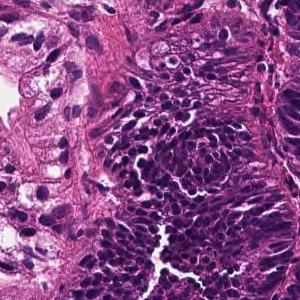
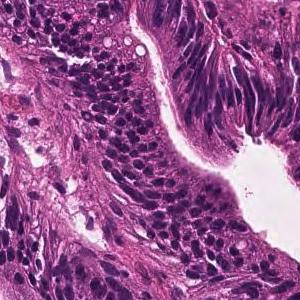
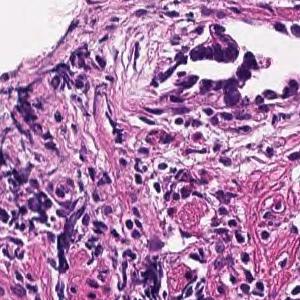
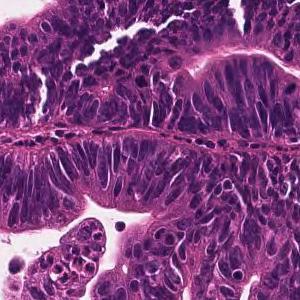
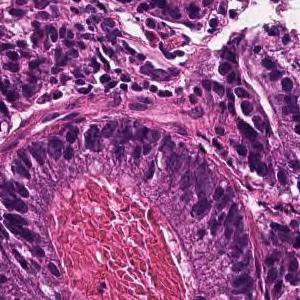
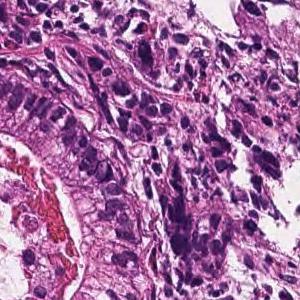
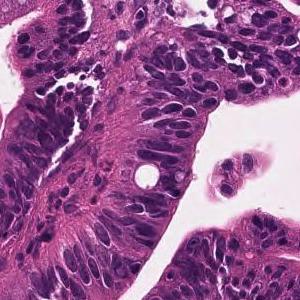
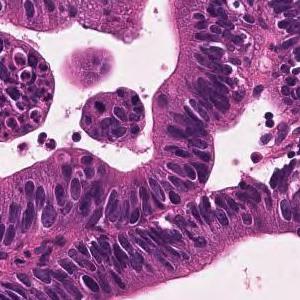
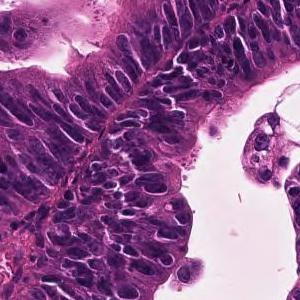
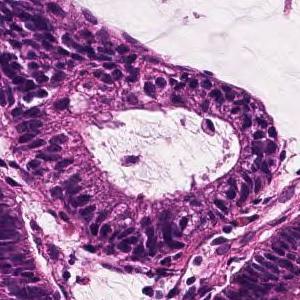
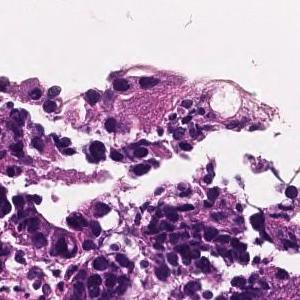
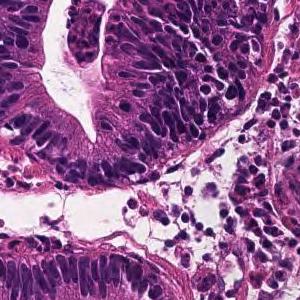
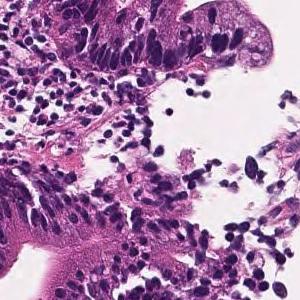
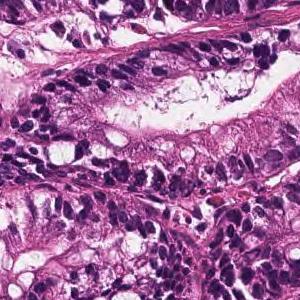
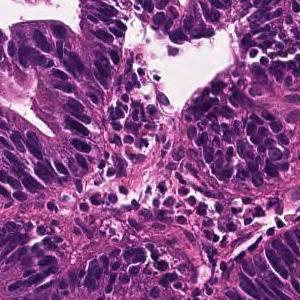
Hematoxylin and eosin stain · scanned at ×20 · 15 tiles cut from one stomach biopsy slide.
The pathologist's report on the biopsy slide these tiles were taken from. The report and the diagnosis describe the slide as a whole, so these tiles may not show every feature named and may include non-tumor tissue.
A large irregular tubular structure is exhibited in the epithelium, and tumor tissue that partially fuses and infiltrates and proliferates is observed. Large columnar tumor cells exhibit enlarged nucleus, hyperchromatism, and mitotic figures. Well differentiated tubular adenocarcinoma
